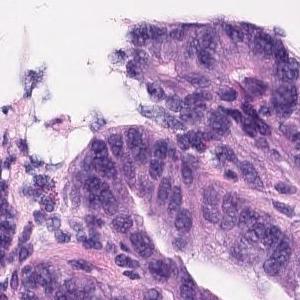
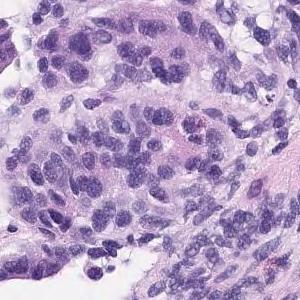
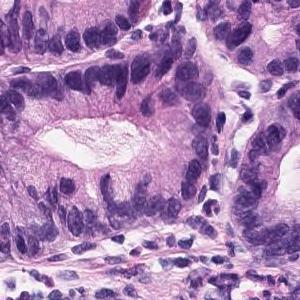
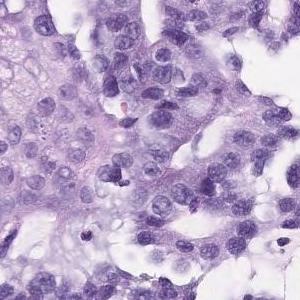
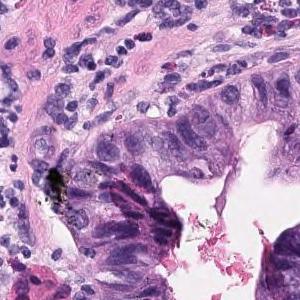
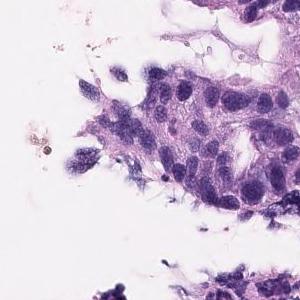
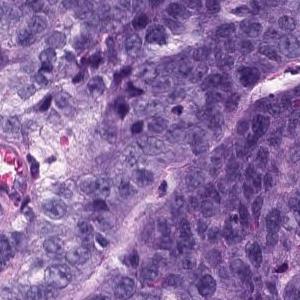
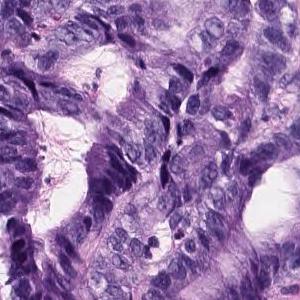
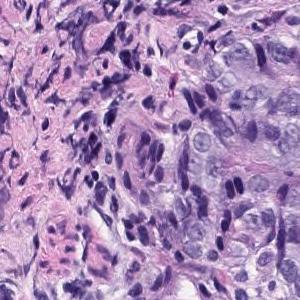
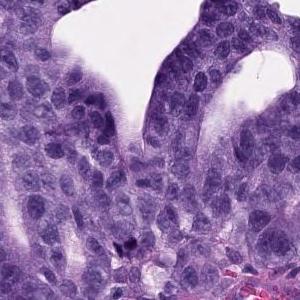
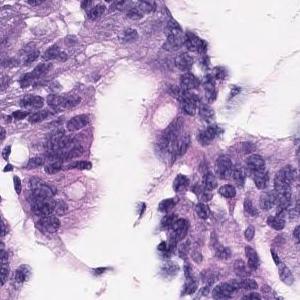
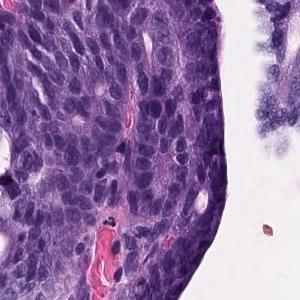
H&E stain, 12 tiles from the same stomach biopsy slide.
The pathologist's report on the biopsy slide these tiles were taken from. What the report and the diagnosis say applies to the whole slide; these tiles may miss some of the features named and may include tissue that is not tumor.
In the superficial epithelium, tumor tissue that invades by forming medium-sized to small, irregular ducts is observed. Well to moderately differentiated tubular adenocarcinoma.
